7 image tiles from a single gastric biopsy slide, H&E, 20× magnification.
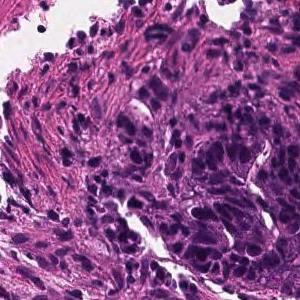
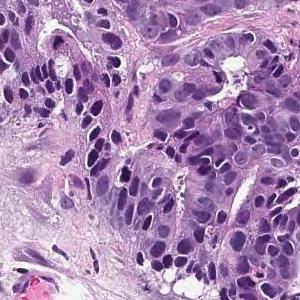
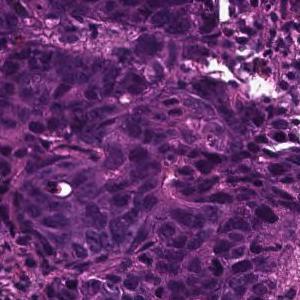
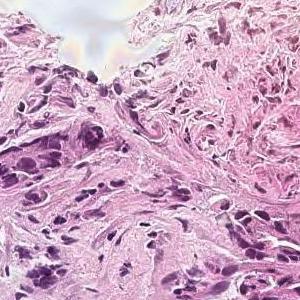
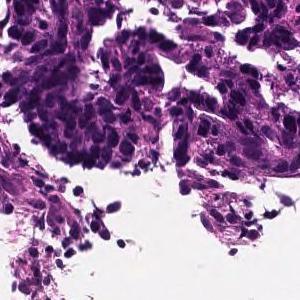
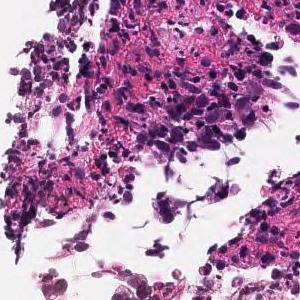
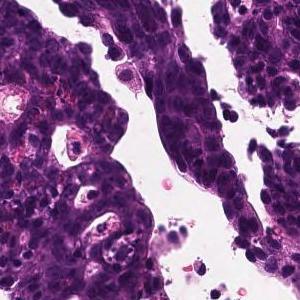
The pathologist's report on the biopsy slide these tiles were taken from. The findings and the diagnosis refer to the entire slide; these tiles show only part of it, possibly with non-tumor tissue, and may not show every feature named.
In the superficial epithelium, tumor tissue that invades by forming medium-sized to small, irregular ducts is observed. moderately differentiated tubular adenocarcinoma.
